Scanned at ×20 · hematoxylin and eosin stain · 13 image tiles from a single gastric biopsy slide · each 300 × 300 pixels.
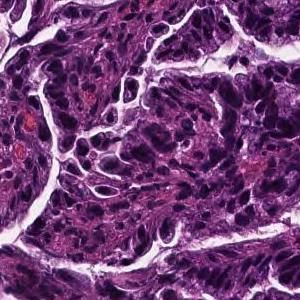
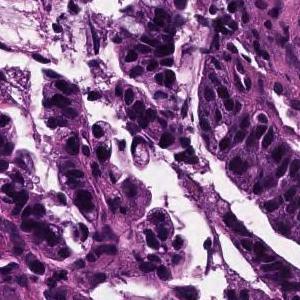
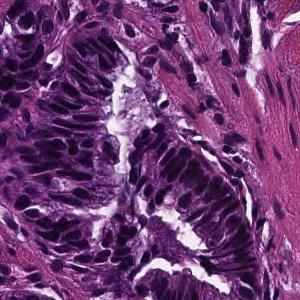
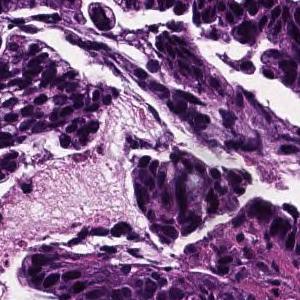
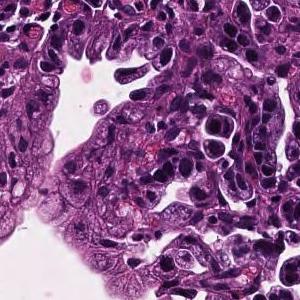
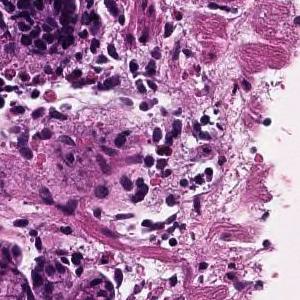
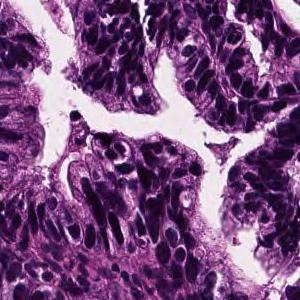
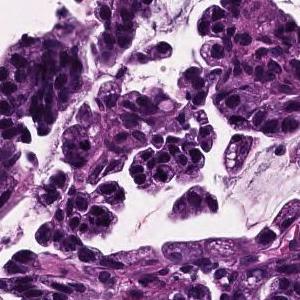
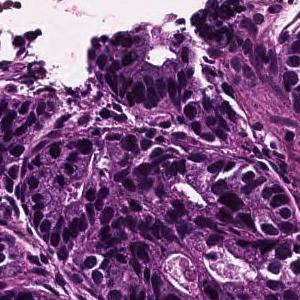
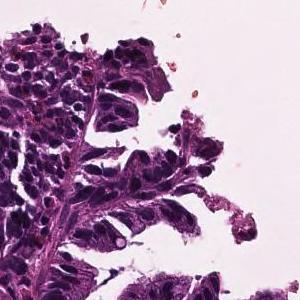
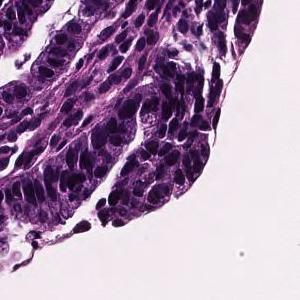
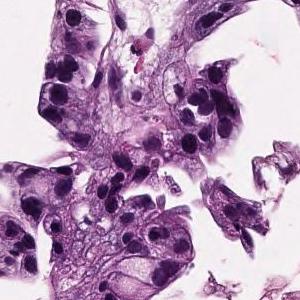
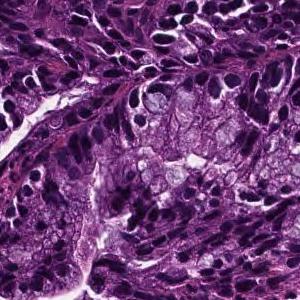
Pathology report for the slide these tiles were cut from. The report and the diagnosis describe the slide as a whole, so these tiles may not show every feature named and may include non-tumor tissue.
In the superficial epithelium, tumor tissue that invades by forming medium-sized to small, irregular ducts is observed. Well differentiated tubular adenocarcinoma.
